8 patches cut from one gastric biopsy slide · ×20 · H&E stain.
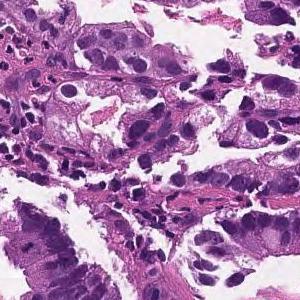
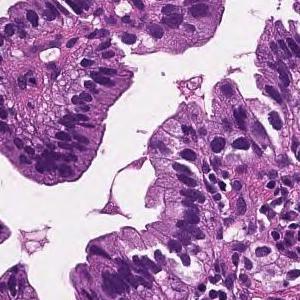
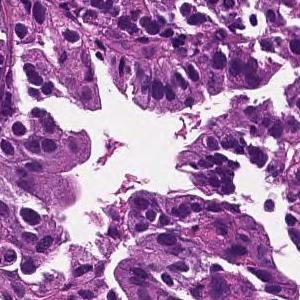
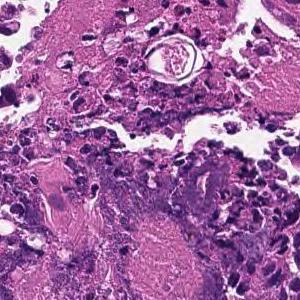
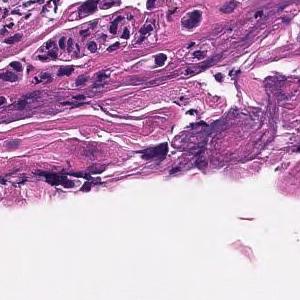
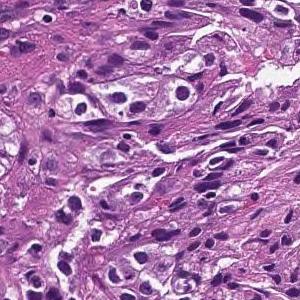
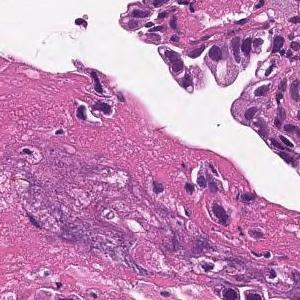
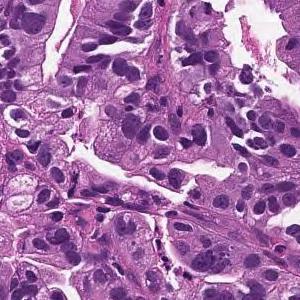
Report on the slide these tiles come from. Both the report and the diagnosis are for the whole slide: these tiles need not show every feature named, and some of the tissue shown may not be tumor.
Medium to small, irregular glandular ducts are formed in the superficial epithelium, and in some cases, the glandular ducts are fused to show solid alveolar lesions and infiltrating tumor tissue is observed. Moderately to poorly differentiated adenocarcinoma.
